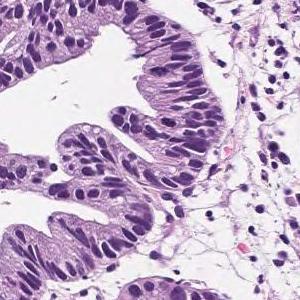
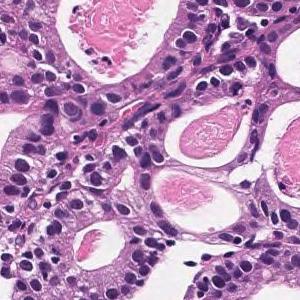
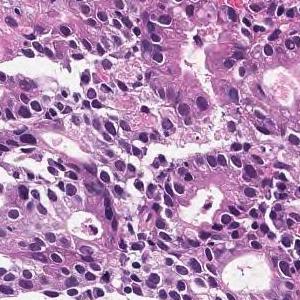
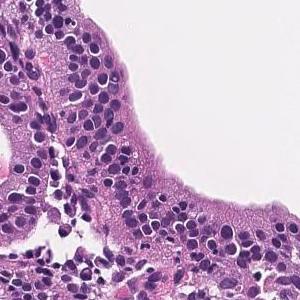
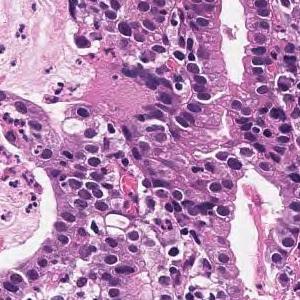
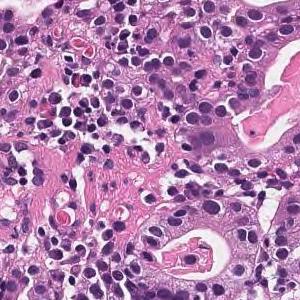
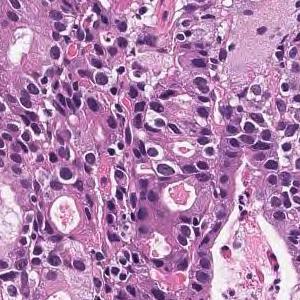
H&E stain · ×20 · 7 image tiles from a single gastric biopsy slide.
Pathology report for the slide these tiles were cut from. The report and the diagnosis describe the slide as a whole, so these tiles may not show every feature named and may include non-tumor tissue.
Medium to small, irregular glandular ducts are formed in the superficial epithelium, and in some cases, the glandular ducts are fused to show solid alveolar lesions and infiltrating tumor tissue is observed. Moderately to poorly differentiated adenocarcinoma.
